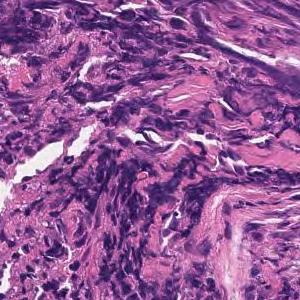
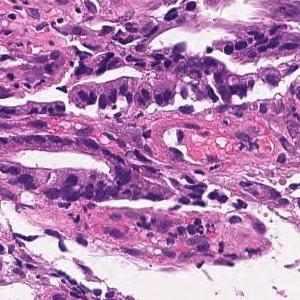
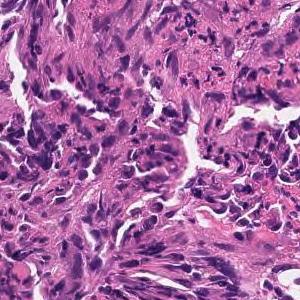
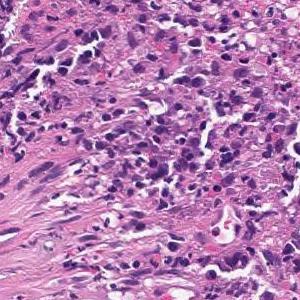
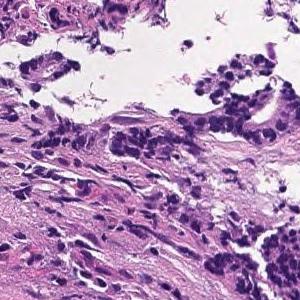
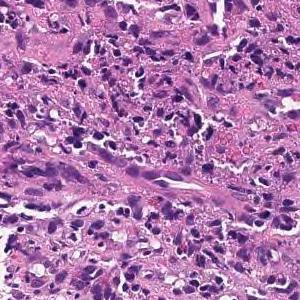
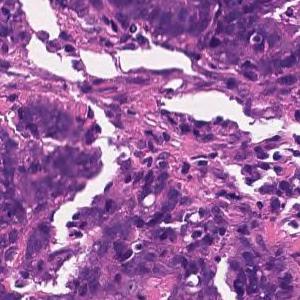
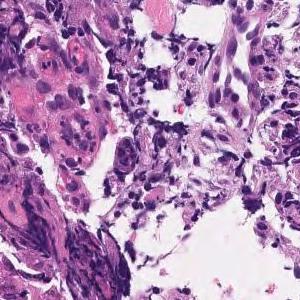
8 tiles cut from one stomach biopsy slide · each 300 × 300 pixels · 20× magnification.
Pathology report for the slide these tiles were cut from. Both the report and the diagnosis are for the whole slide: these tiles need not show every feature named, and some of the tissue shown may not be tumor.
Tumor tissue consisting of medium-sized, cord-like or irregular glandular infiltration is observed in the superficial epithelium. Poorly differentiated adenocarcinoma, non-solid type or moderately differentiated tubular adenocarcinoma
Classified as moderately to poorly differentiated adenocarcinoma.
"Non-solid type" is a category of the Japanese Classification of Gastric Carcinoma.
